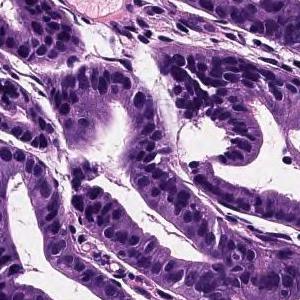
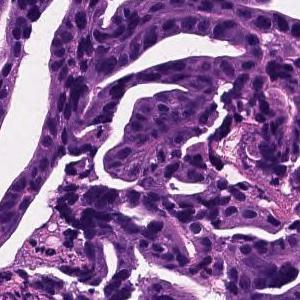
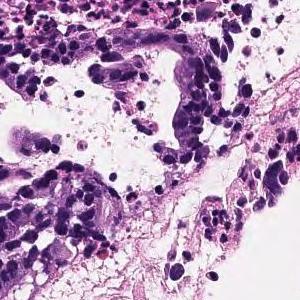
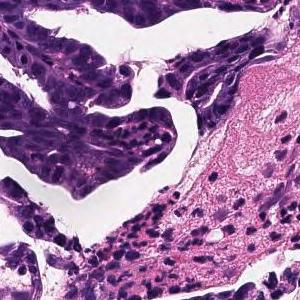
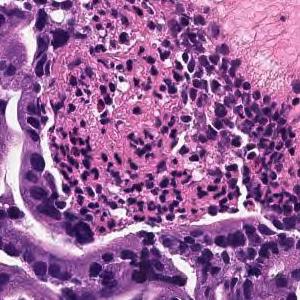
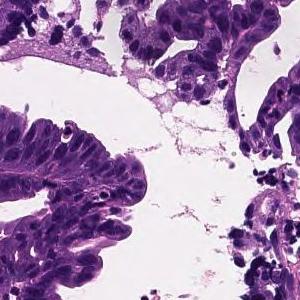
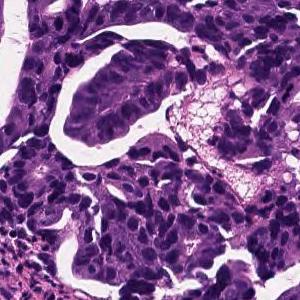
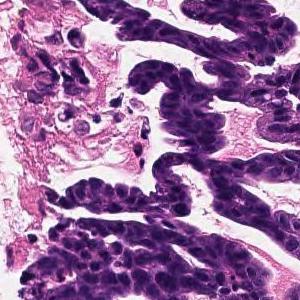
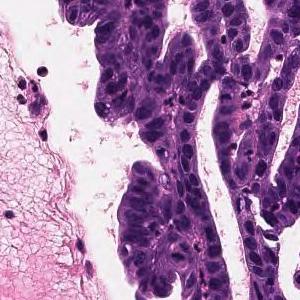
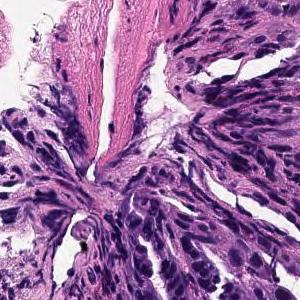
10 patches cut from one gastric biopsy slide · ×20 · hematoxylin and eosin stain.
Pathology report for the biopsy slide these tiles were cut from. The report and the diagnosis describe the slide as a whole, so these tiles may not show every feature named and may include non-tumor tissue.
Tumor cells are large, highly columnar, large club-shaped nuclei, and are associated with chromatin aggregation. Papillary adenocarcinoma.
